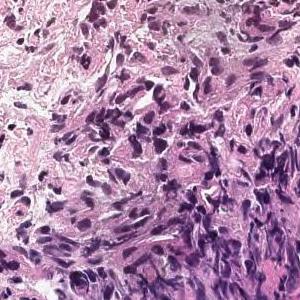
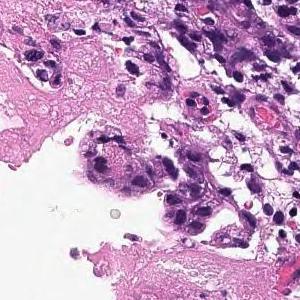
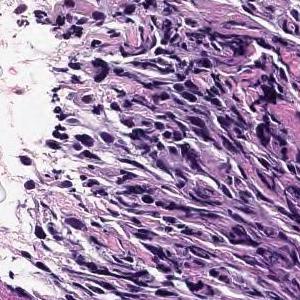
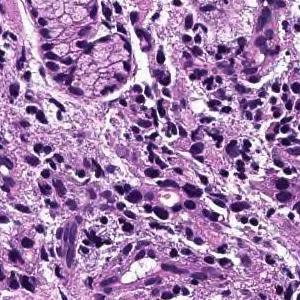
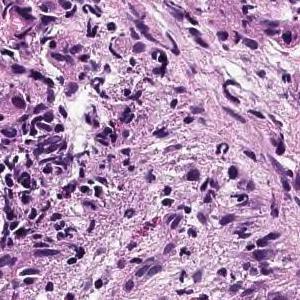
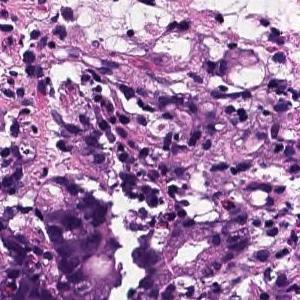
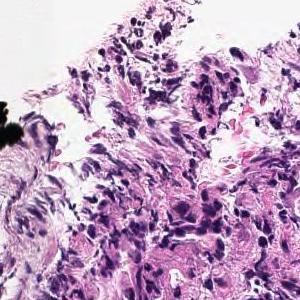
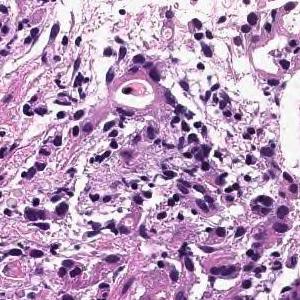
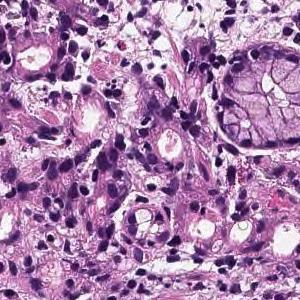
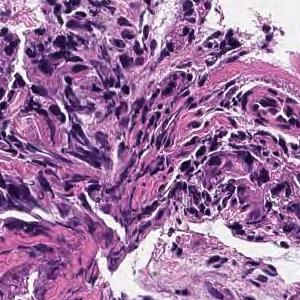
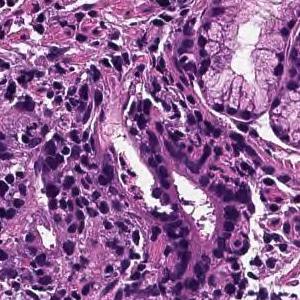
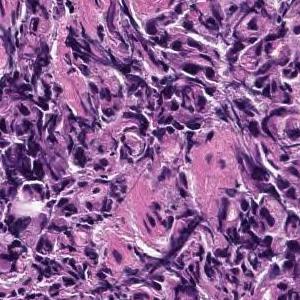
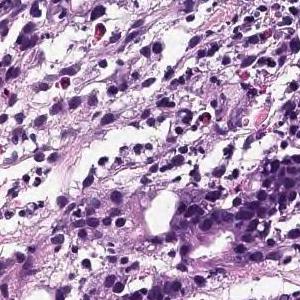
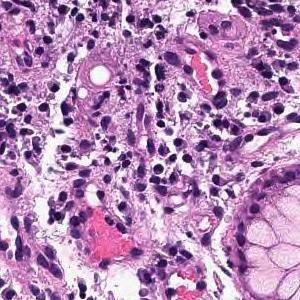
×20 · hematoxylin and eosin stain · 14 tiles from the same stomach biopsy slide.
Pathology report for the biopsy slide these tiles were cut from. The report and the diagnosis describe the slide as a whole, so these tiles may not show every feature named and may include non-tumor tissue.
Tumor tissue consisting of cord-like or small, irregular glandular ducts fused and infiltrated is observed in the superficial epithelium. Poorly differentiated adenocarcinoma, non-solid type
The term "non-solid type" comes from the Japanese Classification of Gastric Carcinoma.
